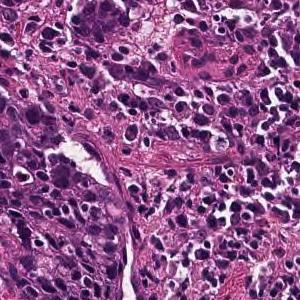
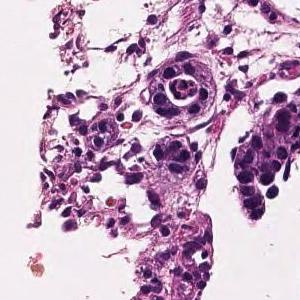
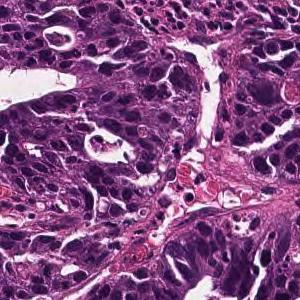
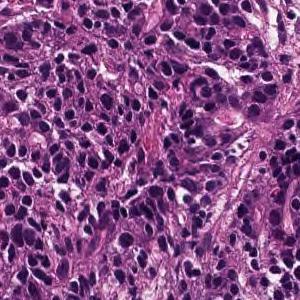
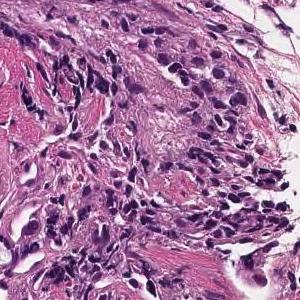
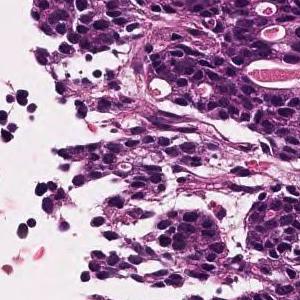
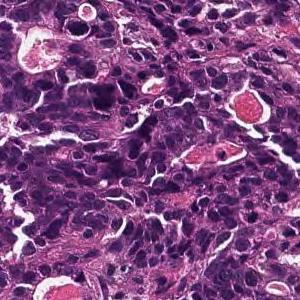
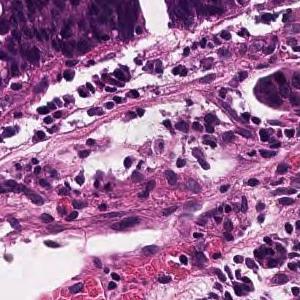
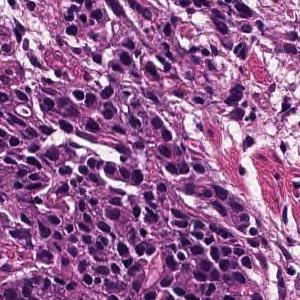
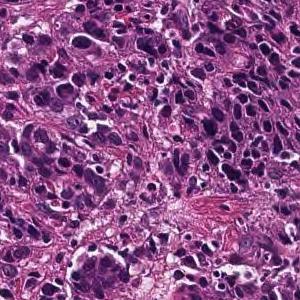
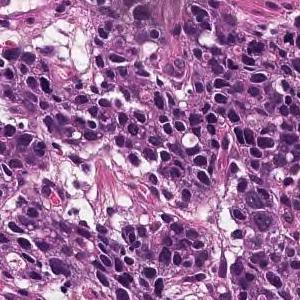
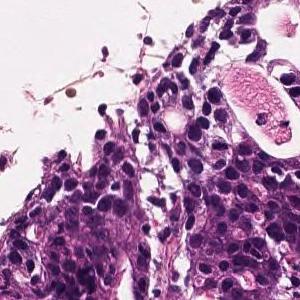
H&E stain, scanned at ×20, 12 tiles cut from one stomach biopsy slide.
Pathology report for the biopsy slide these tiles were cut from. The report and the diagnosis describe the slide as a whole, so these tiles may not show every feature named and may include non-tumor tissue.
Medium to small, irregular glandular ducts are formed in the superficial epithelium, and in some cases, the glandular ducts are fused to show solid alveolar lesions and infiltrating tumor tissue is observed. Moderately to poorly differentiated adenocarcinoma.
